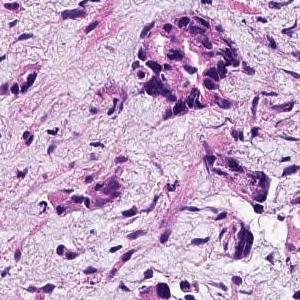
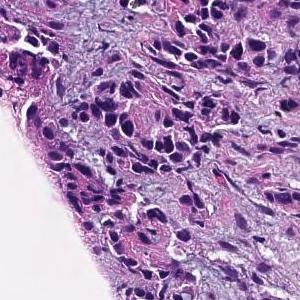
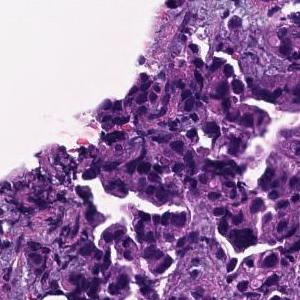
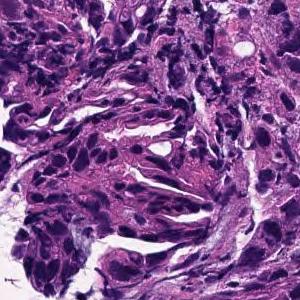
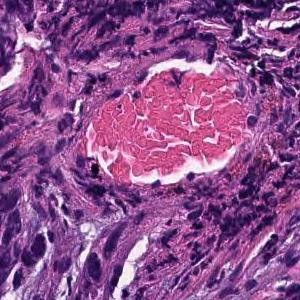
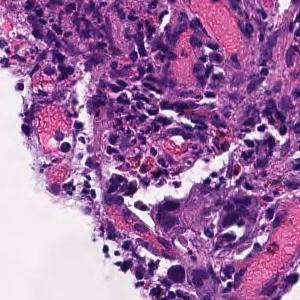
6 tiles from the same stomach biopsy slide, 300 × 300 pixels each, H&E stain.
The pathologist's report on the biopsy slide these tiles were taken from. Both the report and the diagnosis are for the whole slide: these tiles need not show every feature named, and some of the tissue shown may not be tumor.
Tumor tissue consisting of cord-like or small, irregular glandular ducts fused and infiltrated is observed in the superficial epithelium. Poorly differentiated adenocarcinoma, non-solid type
The non-solid type named here is a Japanese Classification of Gastric Carcinoma category.
